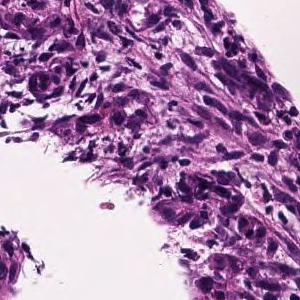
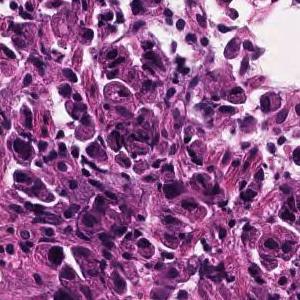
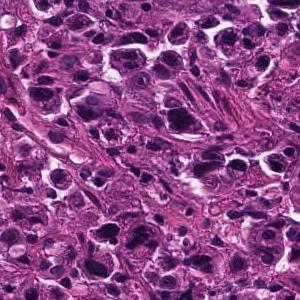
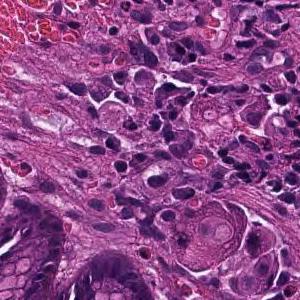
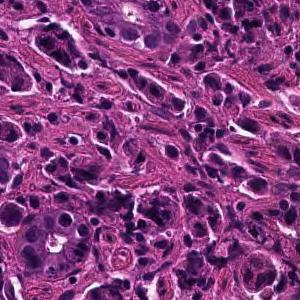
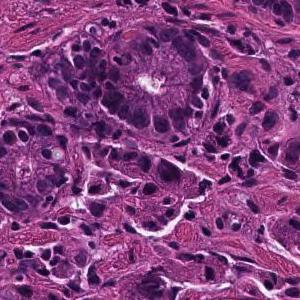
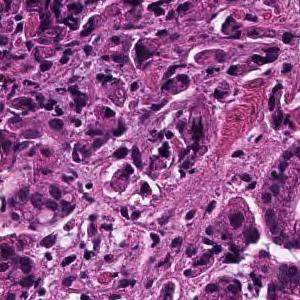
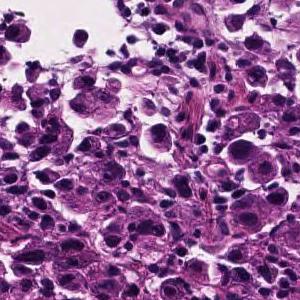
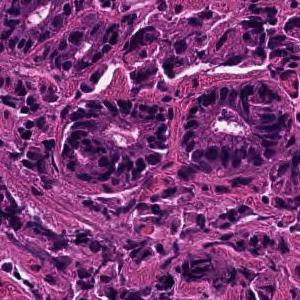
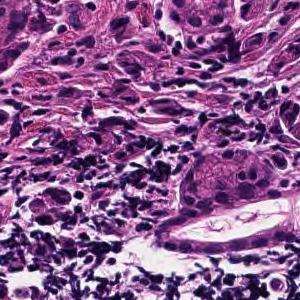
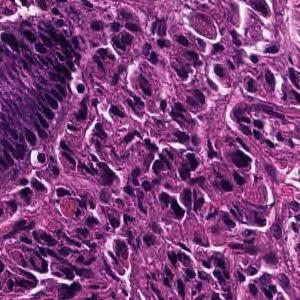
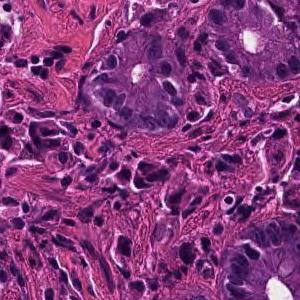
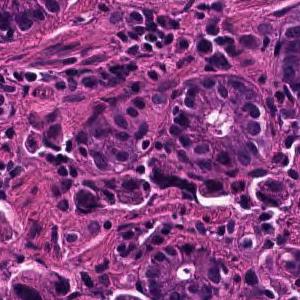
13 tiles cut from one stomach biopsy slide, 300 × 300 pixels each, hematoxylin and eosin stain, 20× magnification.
Pathology report for the biopsy slide these tiles were cut from. The report describes the whole slide, diagnosis included: not every finding it names need appear in these tiles, which may also show non-tumor tissue.
Tumor tissue consisting of cord-like or small, irregular glandular ducts fused and infiltrated is observed in the superficial epithelium. Poorly differentiated adenocarcinoma, non-solid type
The term "non-solid type" comes from the Japanese Classification of Gastric Carcinoma.
